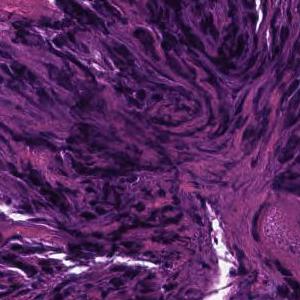
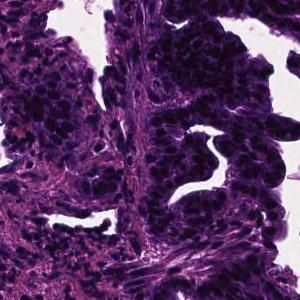
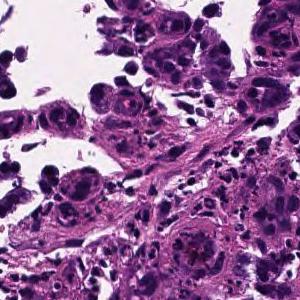
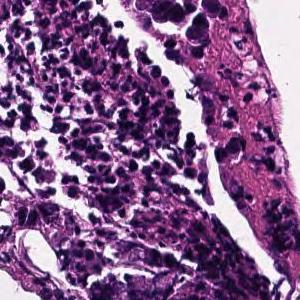
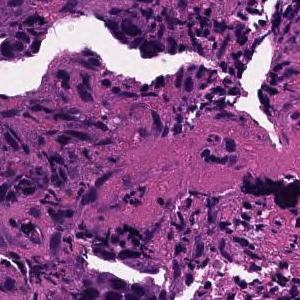
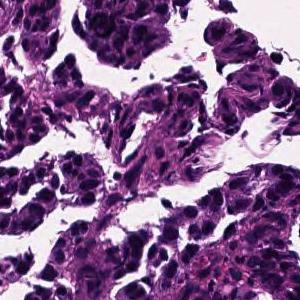
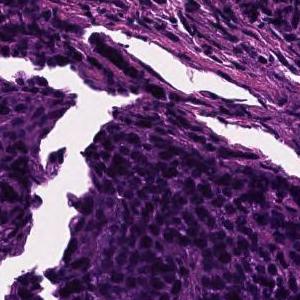
7 image tiles from a single gastric biopsy slide · 300 × 300 pixels each · H&E stain · 20× magnification.
Report on the slide these tiles come from. The findings and the diagnosis refer to the entire slide; these tiles show only part of it, possibly with non-tumor tissue, and may not show every feature named.
In the superficial epithelium, tumor tissue that invades by forming medium-sized to small, irregular ducts is observed. moderately differentiated tubular adenocarcinoma.
